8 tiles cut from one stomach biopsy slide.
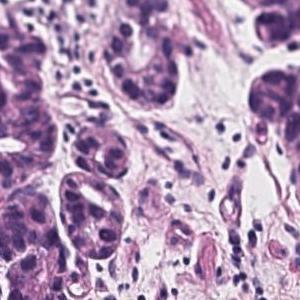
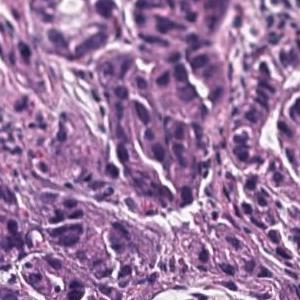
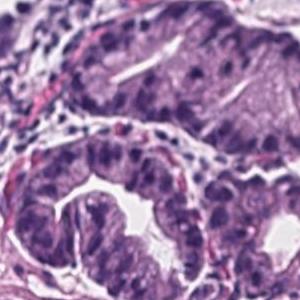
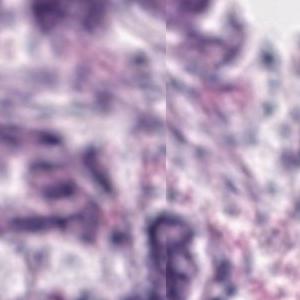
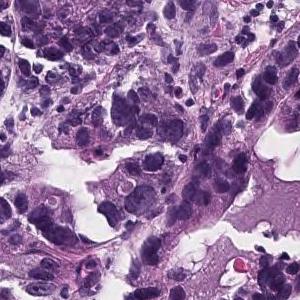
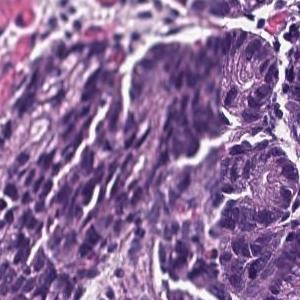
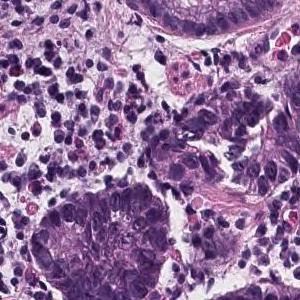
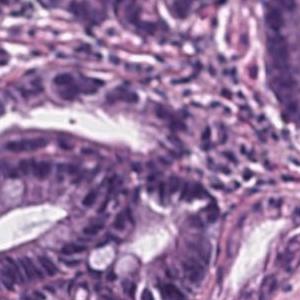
Diagnostic report for the slide these tiles come from. The findings and the diagnosis refer to the entire slide; these tiles show only part of it, possibly with non-tumor tissue, and may not show every feature named.
On the superficial epithelium, tumor tissue consisting of medium to small irregular tubules partially fused and proliferated is observed. Well differentiated tubular adenocarcinoma
